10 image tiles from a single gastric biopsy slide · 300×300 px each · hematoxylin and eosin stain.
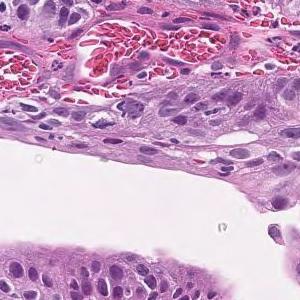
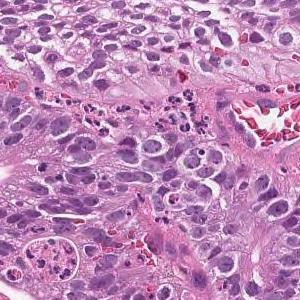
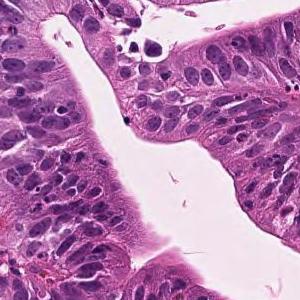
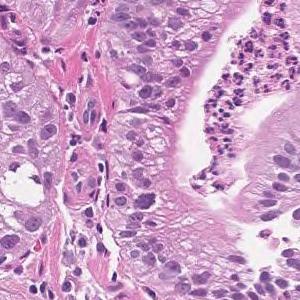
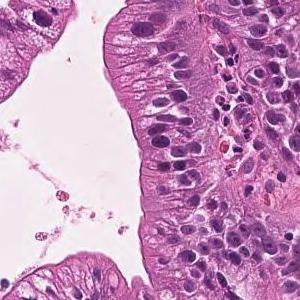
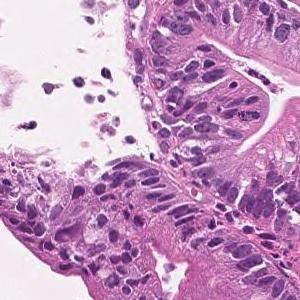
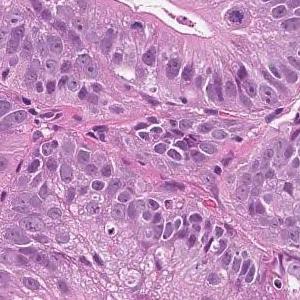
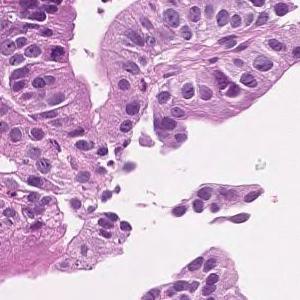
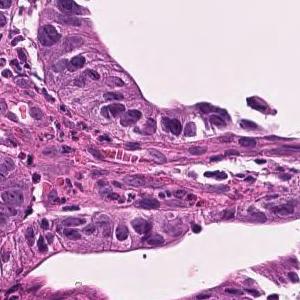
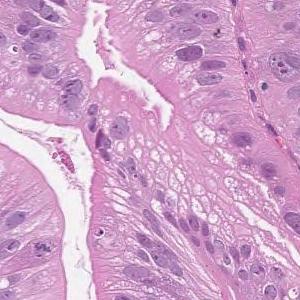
The pathologist's report on the biopsy slide these tiles were taken from. The report describes the whole slide, diagnosis included: not every finding it names need appear in these tiles, which may also show non-tumor tissue.
Tumor cells are large, highly columnar, large club-shaped nuclei, and are associated with chromatin aggregation. Papillary adenocarcinoma.
